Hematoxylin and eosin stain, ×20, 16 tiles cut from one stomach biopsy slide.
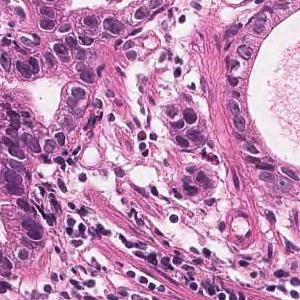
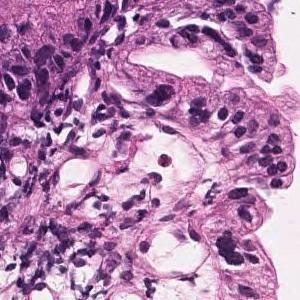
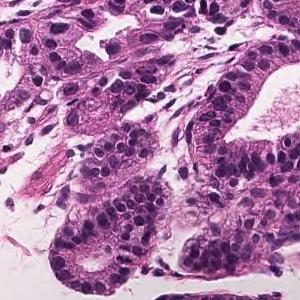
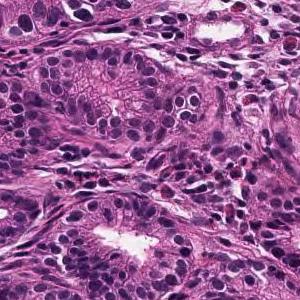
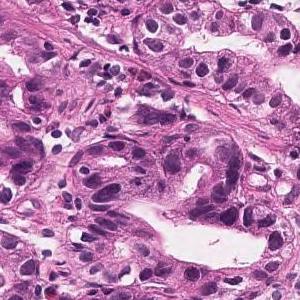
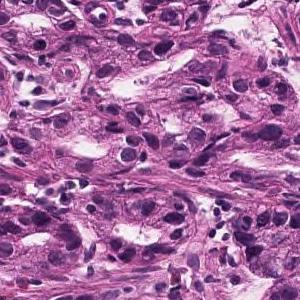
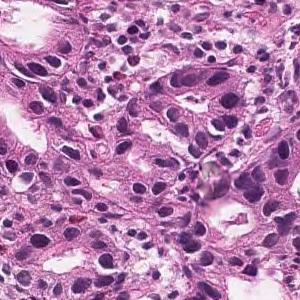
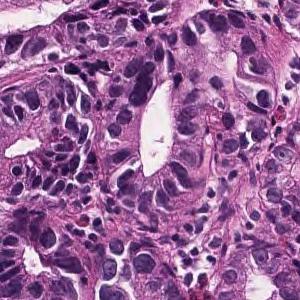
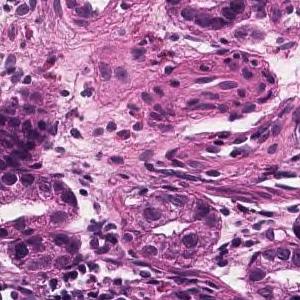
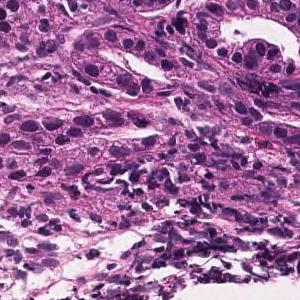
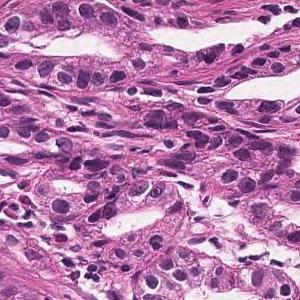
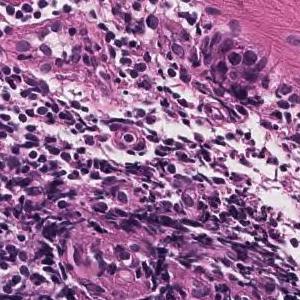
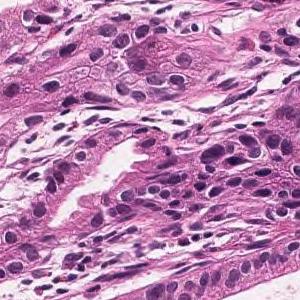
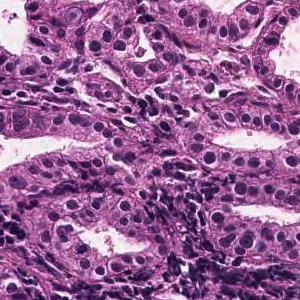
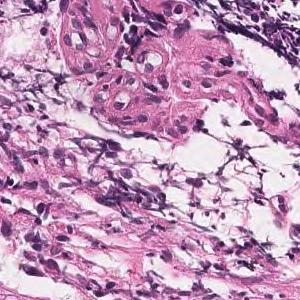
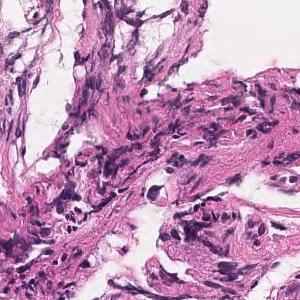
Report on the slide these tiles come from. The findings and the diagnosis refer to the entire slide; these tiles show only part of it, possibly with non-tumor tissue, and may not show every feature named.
Tumor tissue consisting of medium-sized and irregular ducts is observed infiltrating in the superficial epithelium. Tumor cells are highly columnar, with nuclei aligned basolaterally and polarized. Well differentiated tubular adenocarcinoma.
